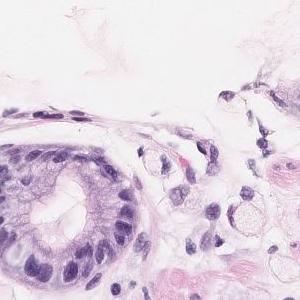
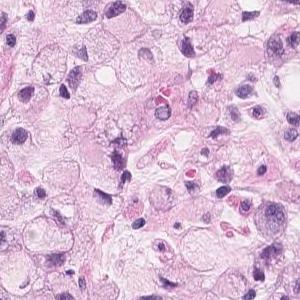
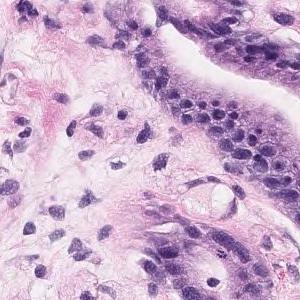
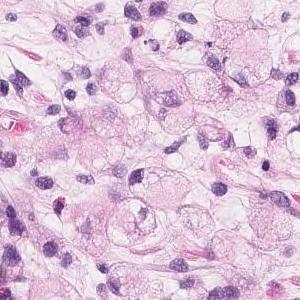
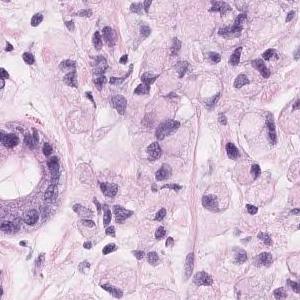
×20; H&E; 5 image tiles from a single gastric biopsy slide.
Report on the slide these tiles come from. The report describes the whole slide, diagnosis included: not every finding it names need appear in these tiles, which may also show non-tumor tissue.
In the lamina propria, atypical epithelial cells that store mucus and lack connectivity proliferate diffusely. Adenocarcinoma. Signet ring cell carcinoma.
